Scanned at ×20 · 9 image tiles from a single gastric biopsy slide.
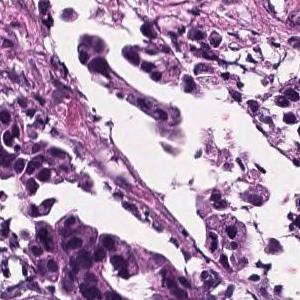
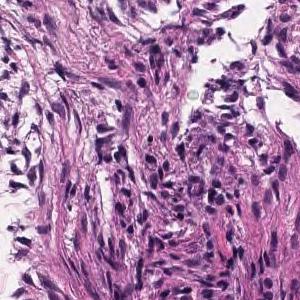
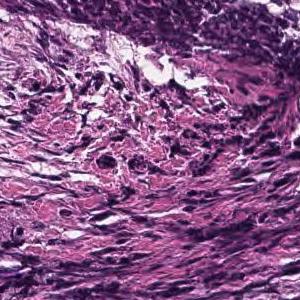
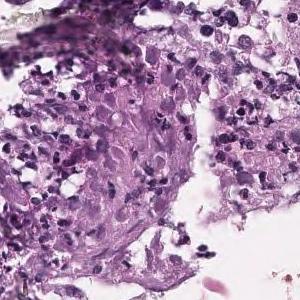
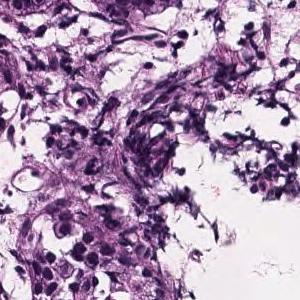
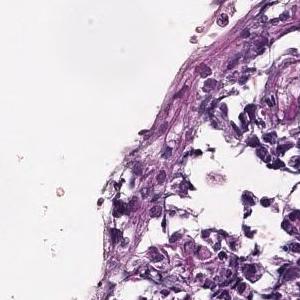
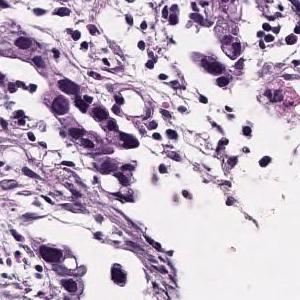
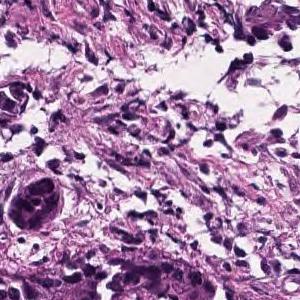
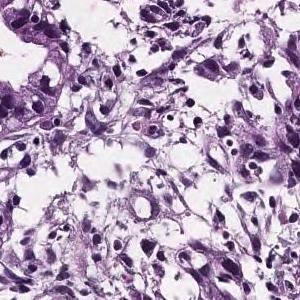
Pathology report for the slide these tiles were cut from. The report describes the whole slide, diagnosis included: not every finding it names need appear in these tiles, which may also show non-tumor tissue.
In the superficial epithelium, tumor tissue that invades by forming medium-sized to small, irregular ducts is observed. moderately differentiated tubular adenocarcinoma.
